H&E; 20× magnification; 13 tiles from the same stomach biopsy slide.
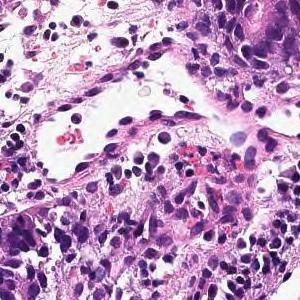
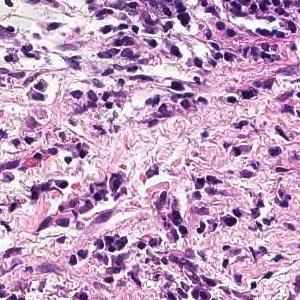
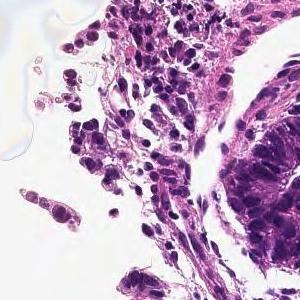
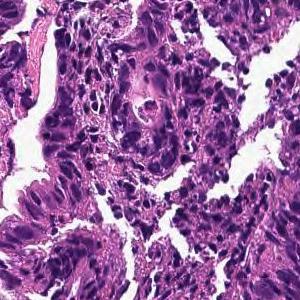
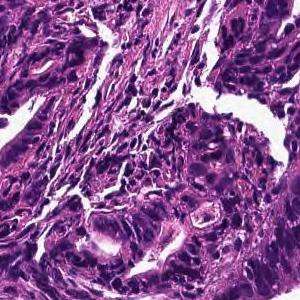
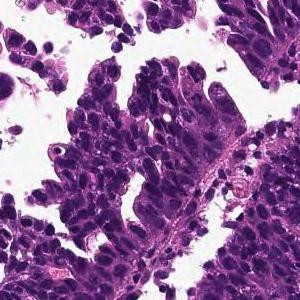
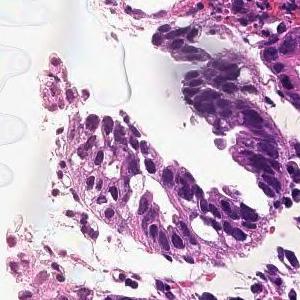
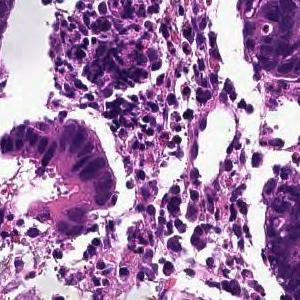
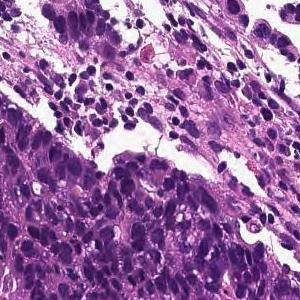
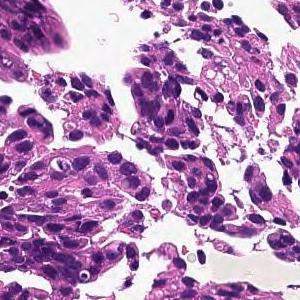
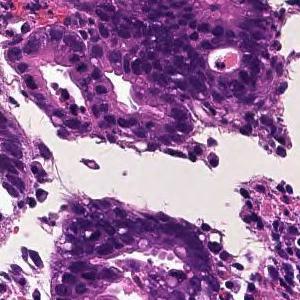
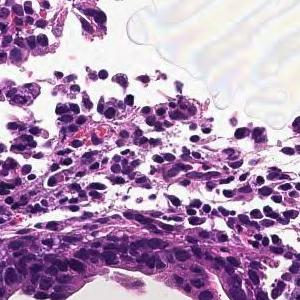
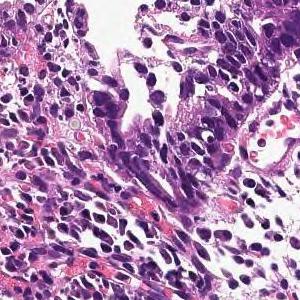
Pathology report for the slide these tiles were cut from. The report describes the whole slide, diagnosis included: not every finding it names need appear in these tiles, which may also show non-tumor tissue.
In the superficial epithelium, tumor tissue that invades by forming medium-sized to small, irregular ducts is observed. moderately differentiated tubular adenocarcinoma.
